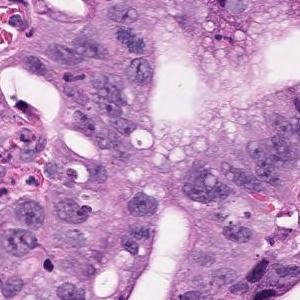
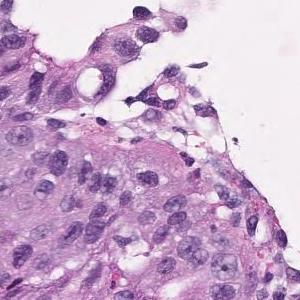
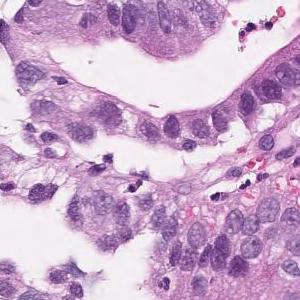
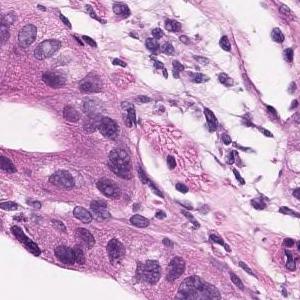
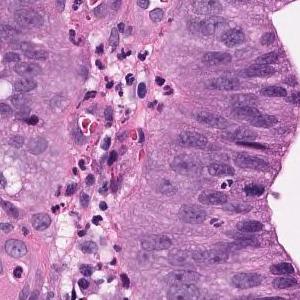
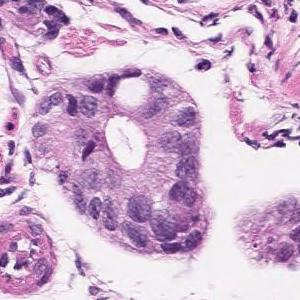
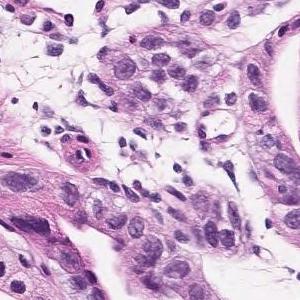
7 image tiles from a single gastric biopsy slide, hematoxylin and eosin stain, 20× magnification.
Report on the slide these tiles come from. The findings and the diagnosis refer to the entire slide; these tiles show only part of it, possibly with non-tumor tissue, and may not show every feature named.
On the superficial epithelium, tumor tissue consisting of medium to small irregular tubules partially fused and proliferated is observed. Well differentiated tubular adenocarcinoma
